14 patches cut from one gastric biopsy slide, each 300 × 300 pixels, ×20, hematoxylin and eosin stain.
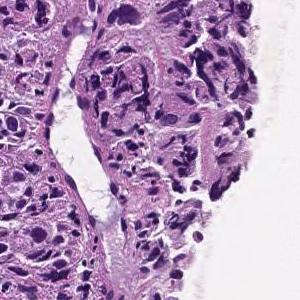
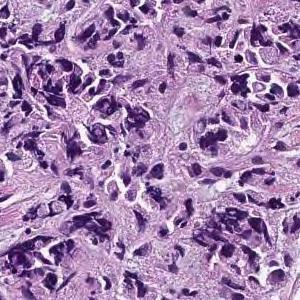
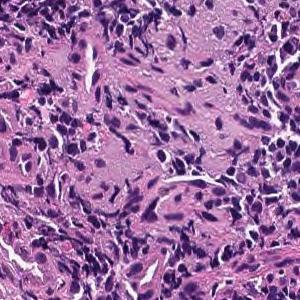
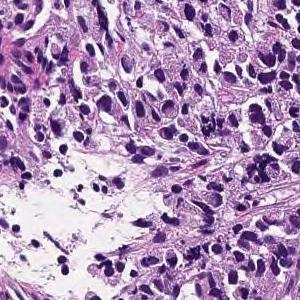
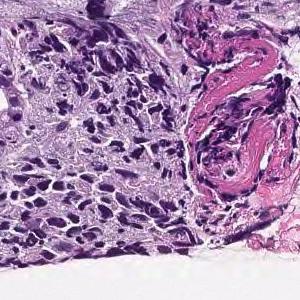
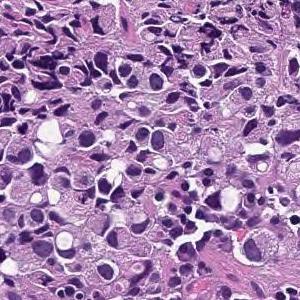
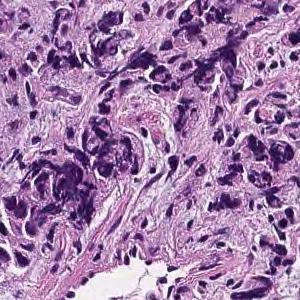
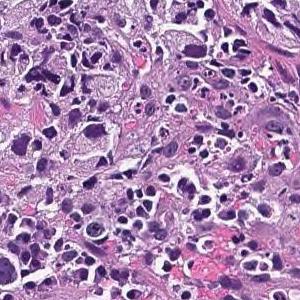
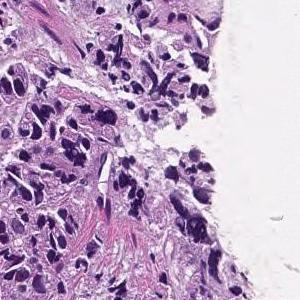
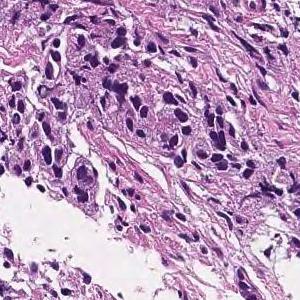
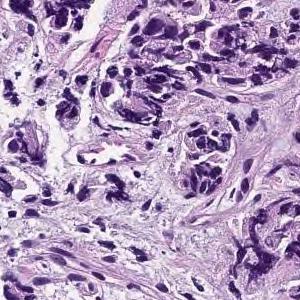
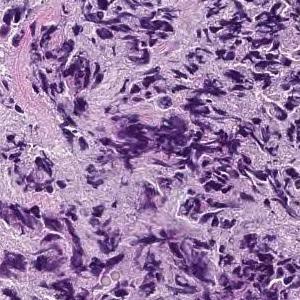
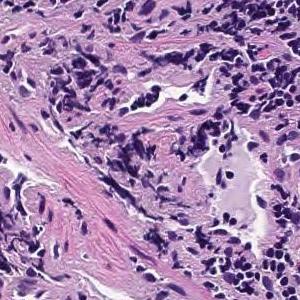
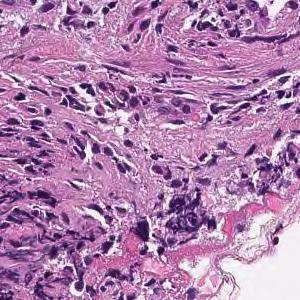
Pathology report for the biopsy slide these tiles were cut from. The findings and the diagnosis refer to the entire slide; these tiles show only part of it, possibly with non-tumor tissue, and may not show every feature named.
The lamina propria shows small cord-like tumor tissue that infiltrates with fibrosis and marked chronic inflammatory cell infiltration. Poorly differentiated adenocarcinoma, non-solid type
"Non-solid type" is a category of the Japanese Classification of Gastric Carcinoma.
